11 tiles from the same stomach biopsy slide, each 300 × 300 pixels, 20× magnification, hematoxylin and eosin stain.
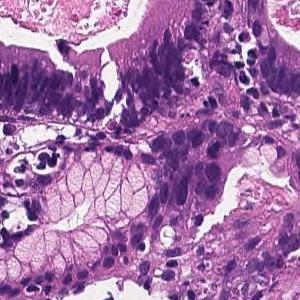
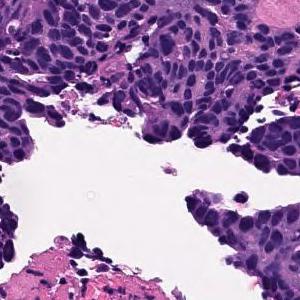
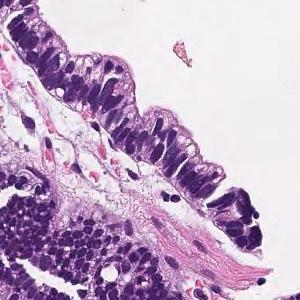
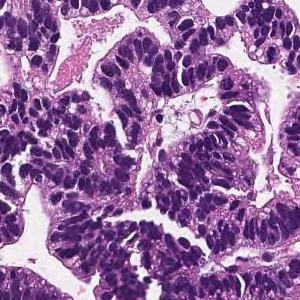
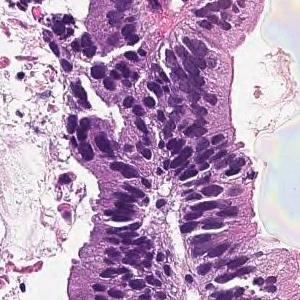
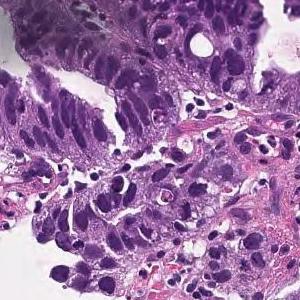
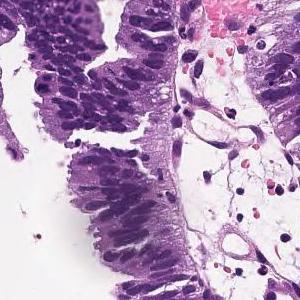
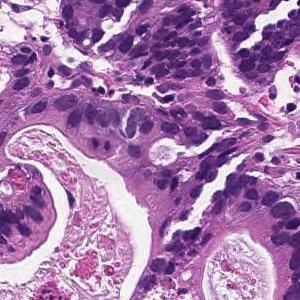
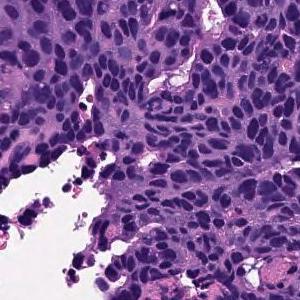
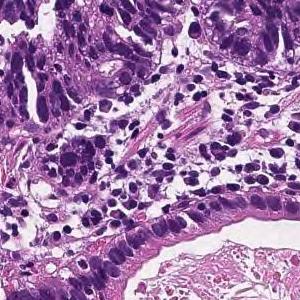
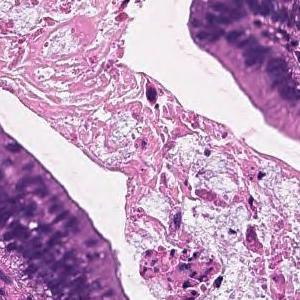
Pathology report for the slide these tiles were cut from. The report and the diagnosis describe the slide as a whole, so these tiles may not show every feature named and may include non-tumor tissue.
In the superficial epithelium, tumor tissue that invades by forming medium-sized to small, irregular ducts is observed. moderately differentiated tubular adenocarcinoma.
